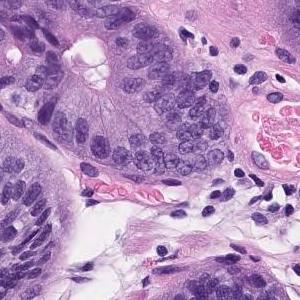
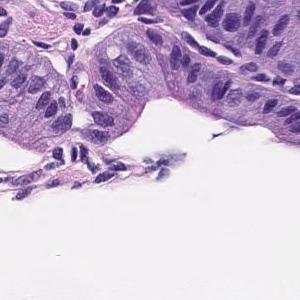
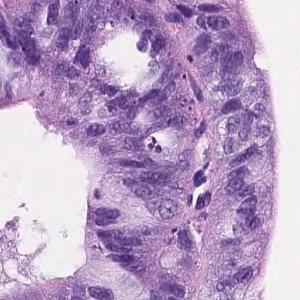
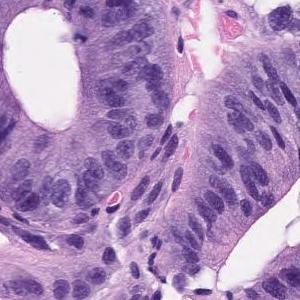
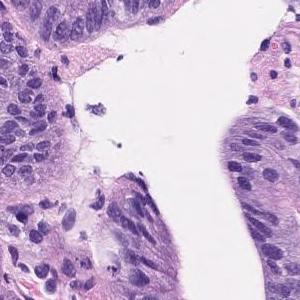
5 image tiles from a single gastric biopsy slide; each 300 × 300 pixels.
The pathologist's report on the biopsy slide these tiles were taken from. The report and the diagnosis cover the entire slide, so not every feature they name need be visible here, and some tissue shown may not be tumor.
On the superficial epithelium, tumor tissue consisting of images of atypical ducts of different sizes partially fused and densely proliferating is observed. Well differentiated tubular adenocarcinoma
